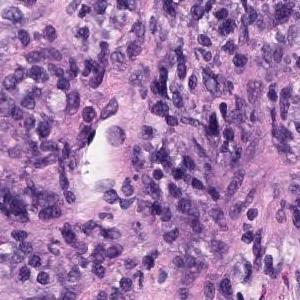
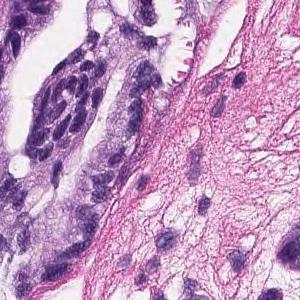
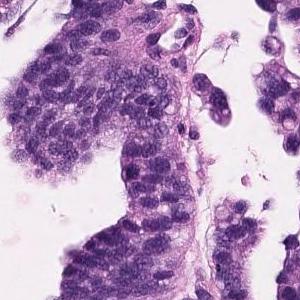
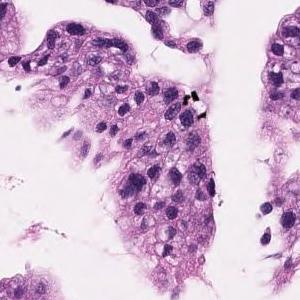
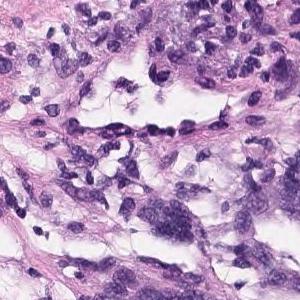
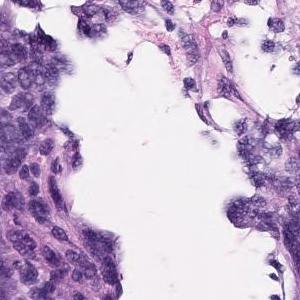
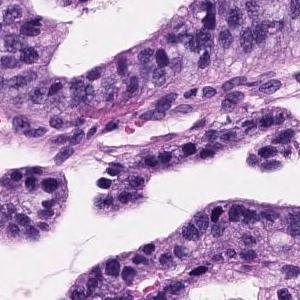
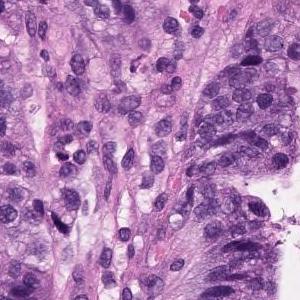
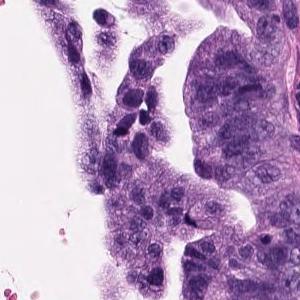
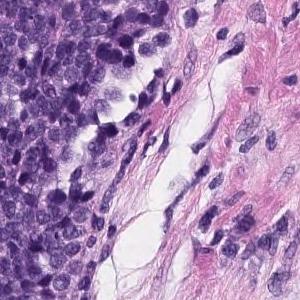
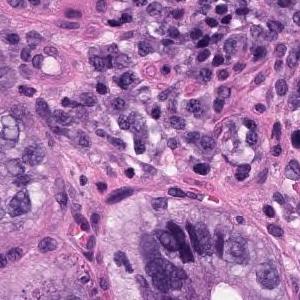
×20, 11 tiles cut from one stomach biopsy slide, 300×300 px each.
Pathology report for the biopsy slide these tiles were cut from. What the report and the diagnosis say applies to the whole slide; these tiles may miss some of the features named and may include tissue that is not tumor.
Tumor cells are large, highly columnar, large club-shaped nuclei, and are associated with chromatin aggregation. Papillary adenocarcinoma.
